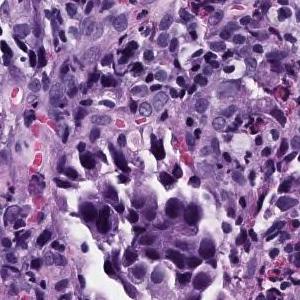
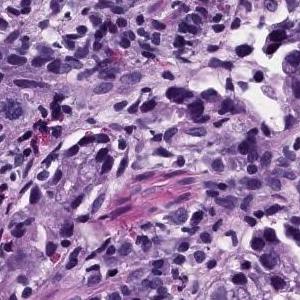
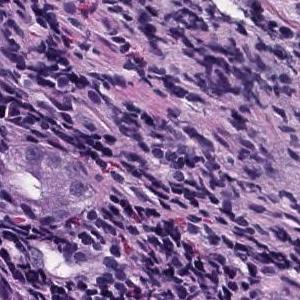
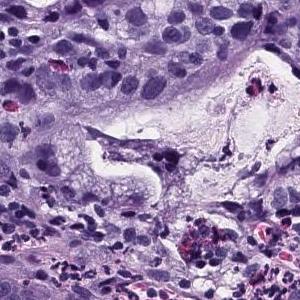
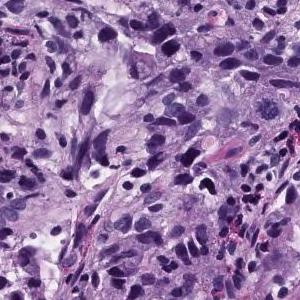
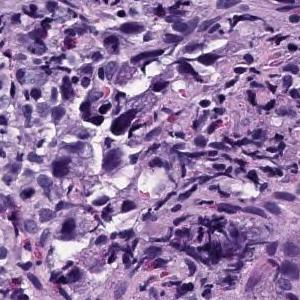
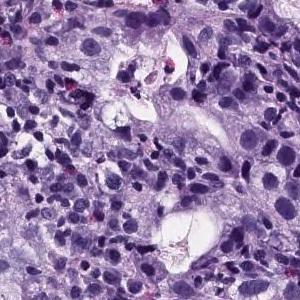
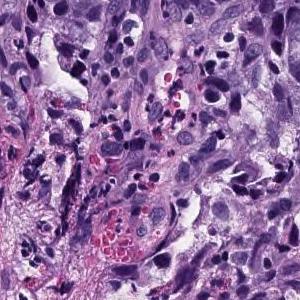
8 image tiles from a single gastric biopsy slide · 20× magnification · H&E.
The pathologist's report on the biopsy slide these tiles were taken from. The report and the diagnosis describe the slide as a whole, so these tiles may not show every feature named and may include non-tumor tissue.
Atypical epithelial cells infiltrating and proliferating while forming solid or cord-like fused glandular cavities of different sizes is observed. moderately differentiated tubular adenocarcinoma, poorly differentiated adenocarcinoma.
Histologic type: Moderately to poorly differentiated adenocarcinoma.
